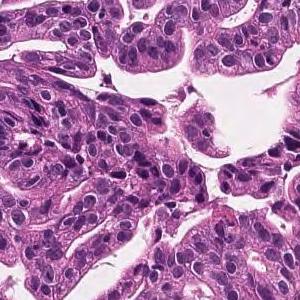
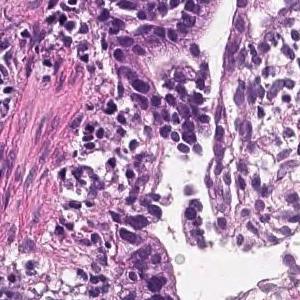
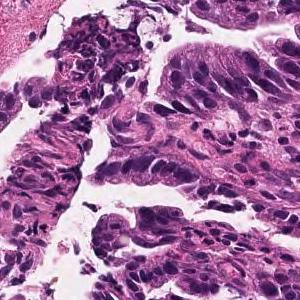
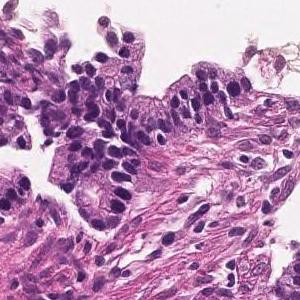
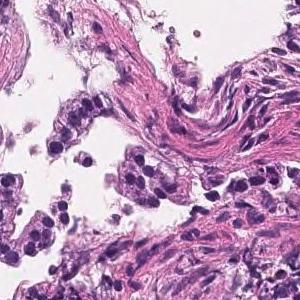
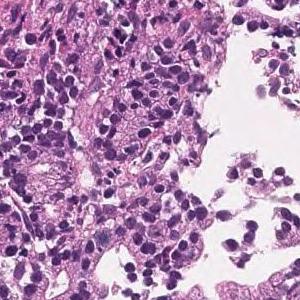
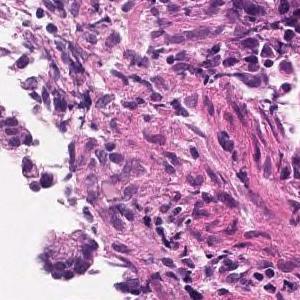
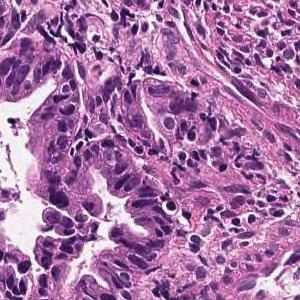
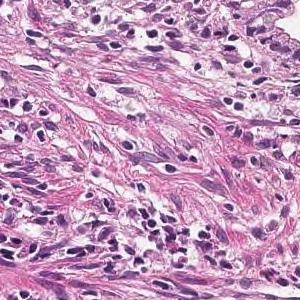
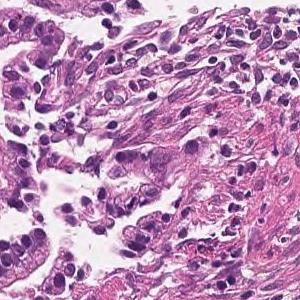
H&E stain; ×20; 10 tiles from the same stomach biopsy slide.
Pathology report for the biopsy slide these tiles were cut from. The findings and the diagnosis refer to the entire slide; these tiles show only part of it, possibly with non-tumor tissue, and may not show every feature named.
Tumor cells are large, highly columnar, large club-shaped nuclei, and are associated with chromatin aggregation. Papillary adenocarcinoma.
